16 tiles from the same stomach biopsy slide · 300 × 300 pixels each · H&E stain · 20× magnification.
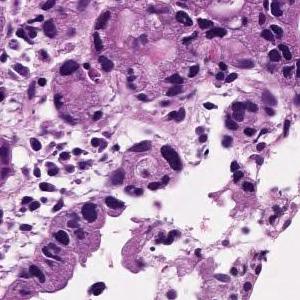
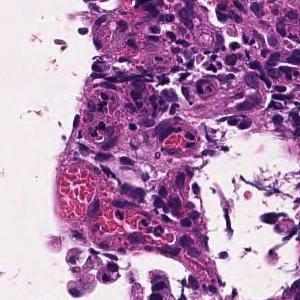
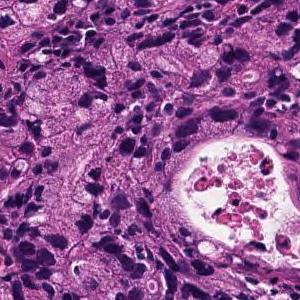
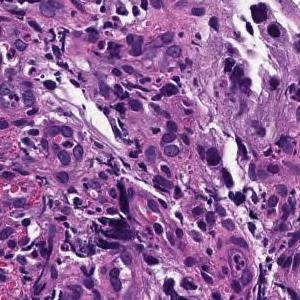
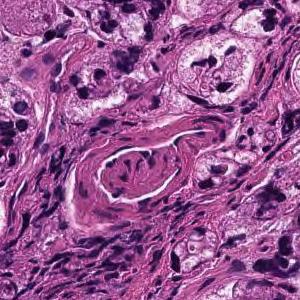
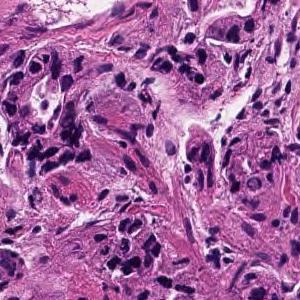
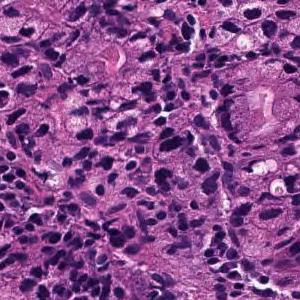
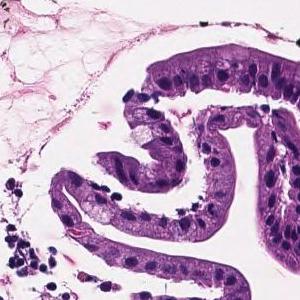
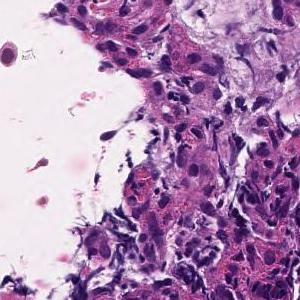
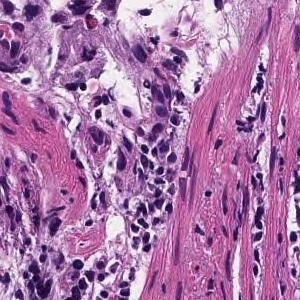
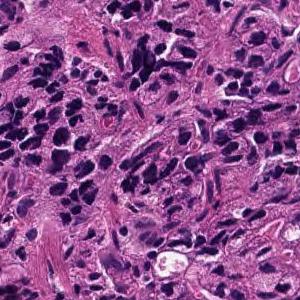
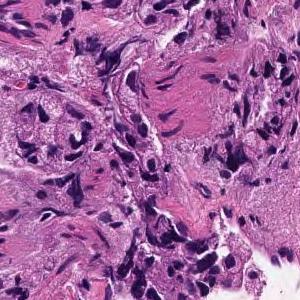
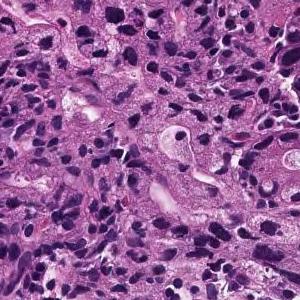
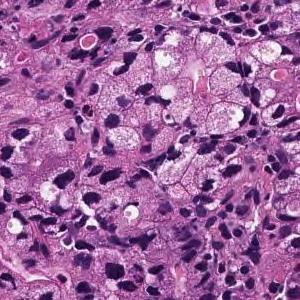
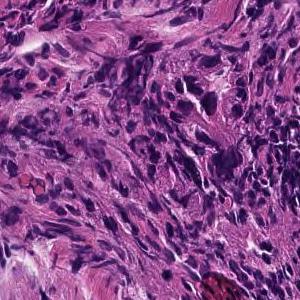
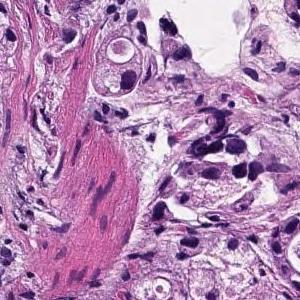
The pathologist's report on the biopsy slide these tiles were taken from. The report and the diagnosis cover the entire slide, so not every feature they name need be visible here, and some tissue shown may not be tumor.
In the superficial epithelium, tumor tissue that invades by forming medium-sized to small, irregular ducts is observed. moderately differentiated tubular adenocarcinoma.
